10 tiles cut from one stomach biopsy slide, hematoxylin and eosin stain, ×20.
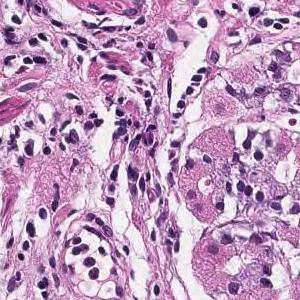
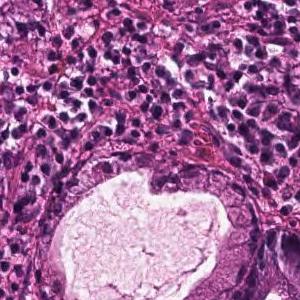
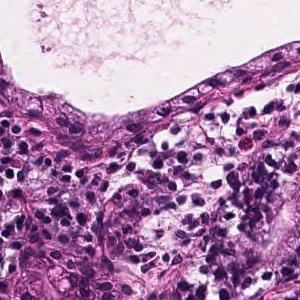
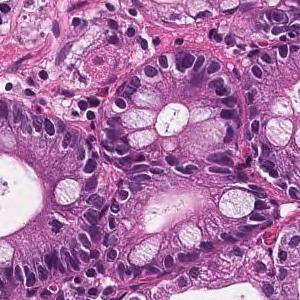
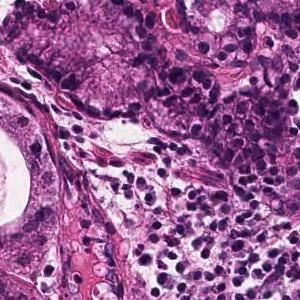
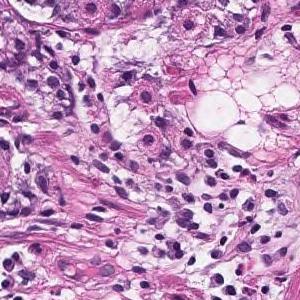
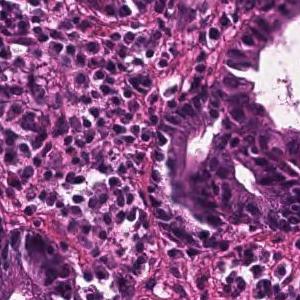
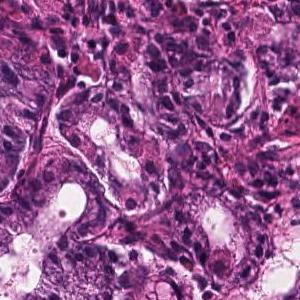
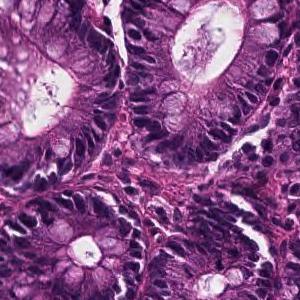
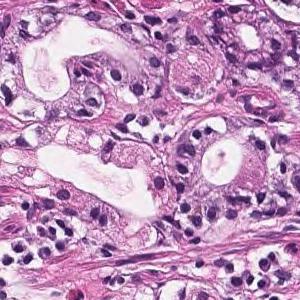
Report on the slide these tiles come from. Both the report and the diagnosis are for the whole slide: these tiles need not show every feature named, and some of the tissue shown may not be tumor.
Tumor tissue in which medium to small irregular ducts infiltrate and proliferate in the submucosa can be seen in the epithelium. Well differentiated tubular adenocarcinoma
